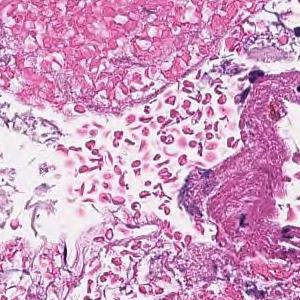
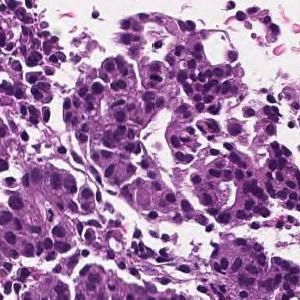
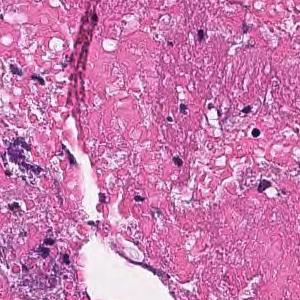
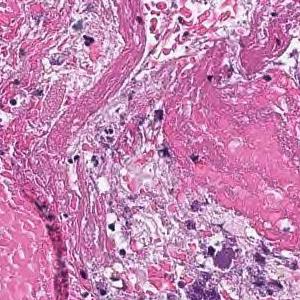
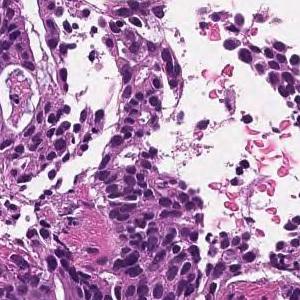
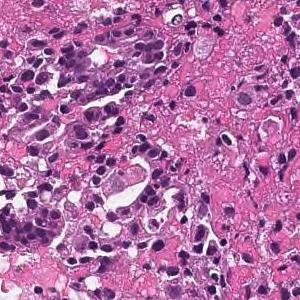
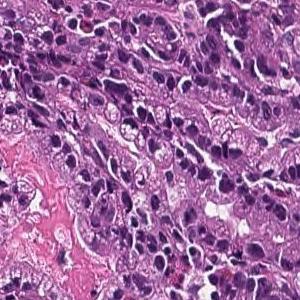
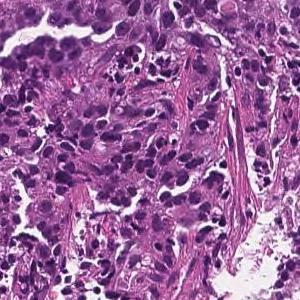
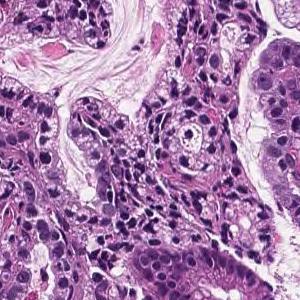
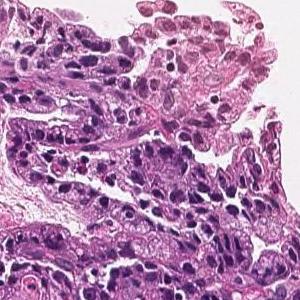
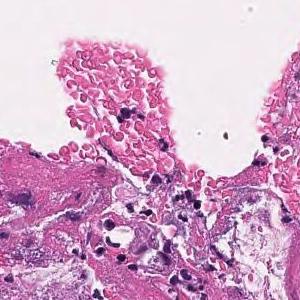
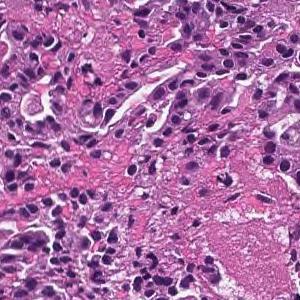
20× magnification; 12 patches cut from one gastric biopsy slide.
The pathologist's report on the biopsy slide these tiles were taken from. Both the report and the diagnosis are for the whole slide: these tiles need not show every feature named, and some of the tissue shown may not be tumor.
On the superficial epithelium, tumor tissue that infiltrates by forming medium-sized papillary or small irregular ducts is observed. Papillary adenocarcinoma
